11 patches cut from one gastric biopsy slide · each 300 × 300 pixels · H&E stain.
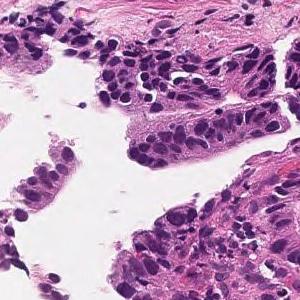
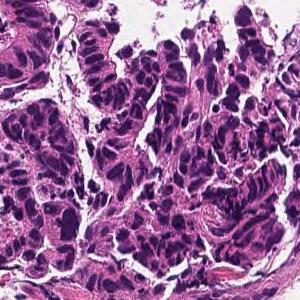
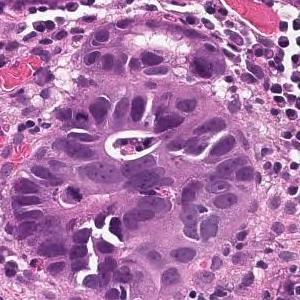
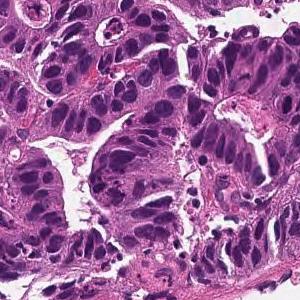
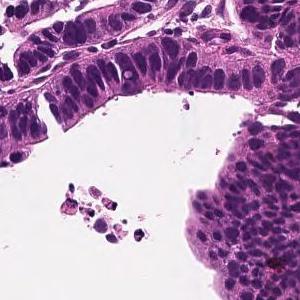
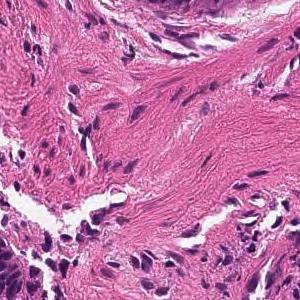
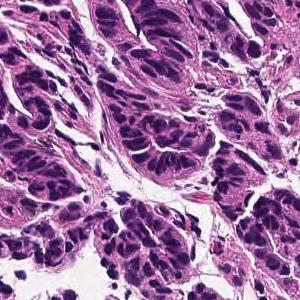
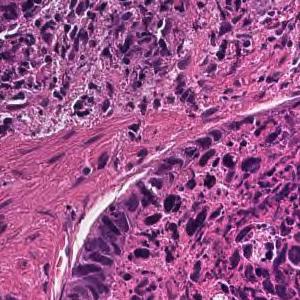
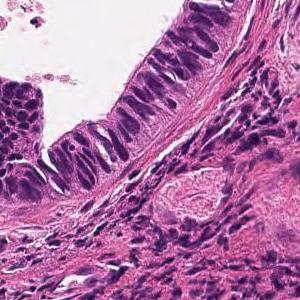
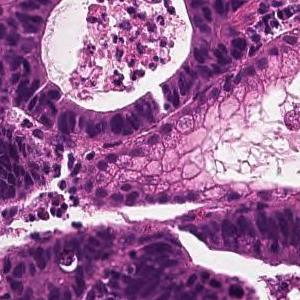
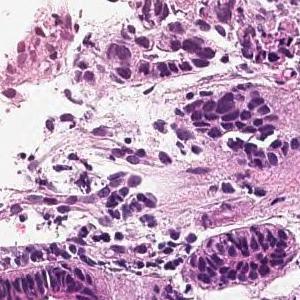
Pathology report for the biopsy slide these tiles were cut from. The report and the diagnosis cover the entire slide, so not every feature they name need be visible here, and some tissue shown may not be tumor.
From the superficial epithelium to the muscularis mucosae, tumor tissue consisting of medium-sized and irregular glandular ducts infiltrating is observed. Well differentiated tubular adenocarcinoma
